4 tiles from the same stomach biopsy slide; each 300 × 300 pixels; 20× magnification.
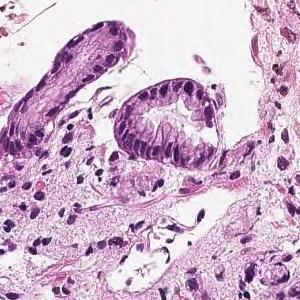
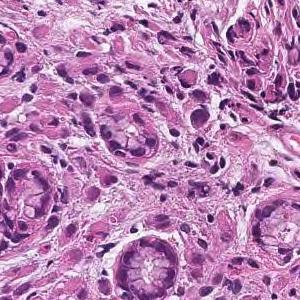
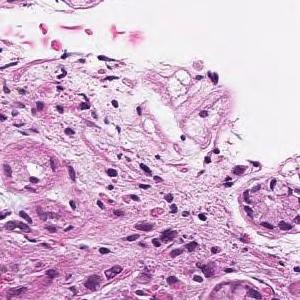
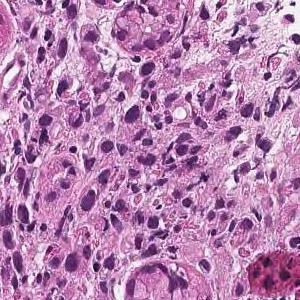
Report on the slide these tiles come from. The report and the diagnosis cover the entire slide, so not every feature they name need be visible here, and some tissue shown may not be tumor.
Tumor tissue consisting of cord-like or small, irregular glandular ducts fused and infiltrated is observed in the superficial epithelium. Poorly differentiated adenocarcinoma, non-solid type
The non-solid type named here is a Japanese Classification of Gastric Carcinoma category.
